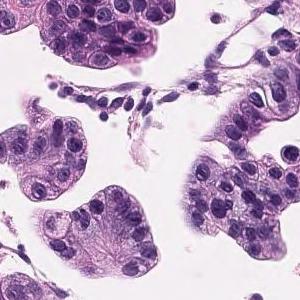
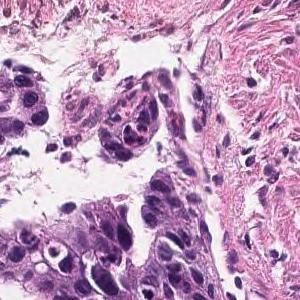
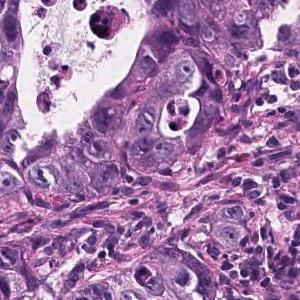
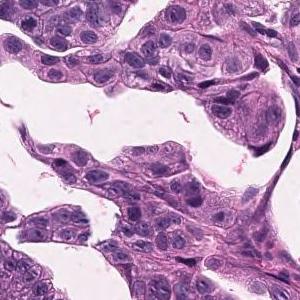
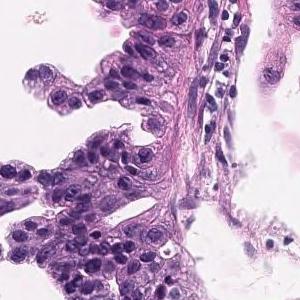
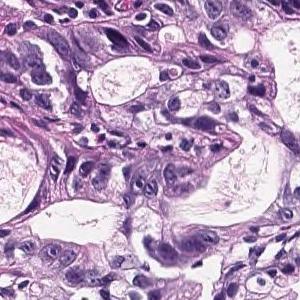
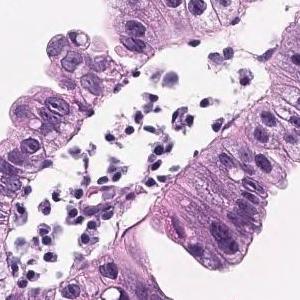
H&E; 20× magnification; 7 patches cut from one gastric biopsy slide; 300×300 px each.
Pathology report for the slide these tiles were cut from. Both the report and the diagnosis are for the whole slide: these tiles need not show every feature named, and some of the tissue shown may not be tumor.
Tumor cells are large, highly columnar, large club-shaped nuclei, and are associated with chromatin aggregation. Papillary adenocarcinoma.
